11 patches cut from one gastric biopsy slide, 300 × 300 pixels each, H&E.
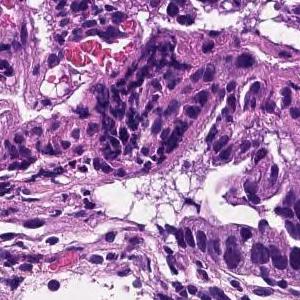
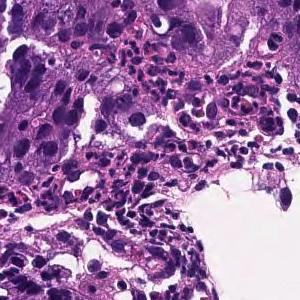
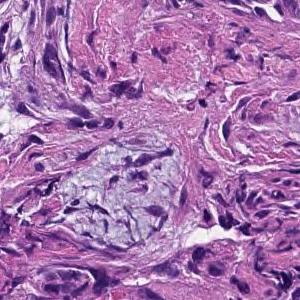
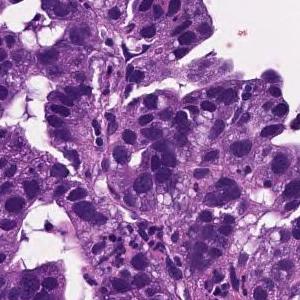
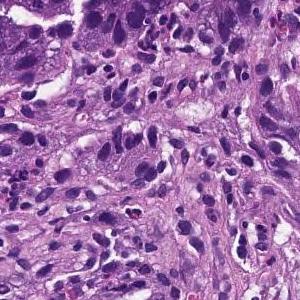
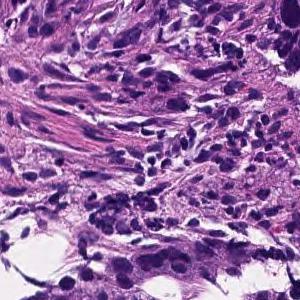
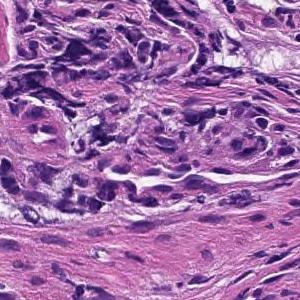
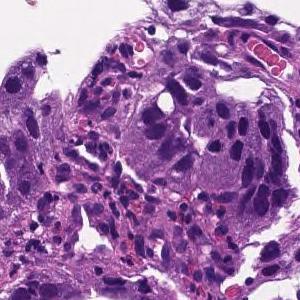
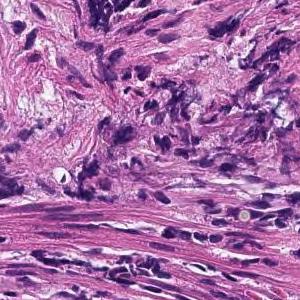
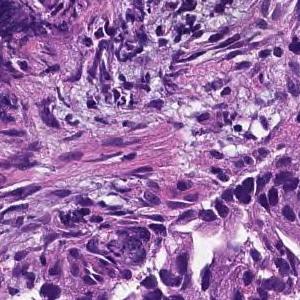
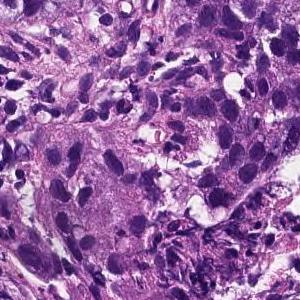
Pathology report for the slide these tiles were cut from. What the report and the diagnosis say applies to the whole slide; these tiles may miss some of the features named and may include tissue that is not tumor.
Tumor tissue consisting of large papillary structures is found in the superficial epithelium. Papillary adenocarcinoma.
